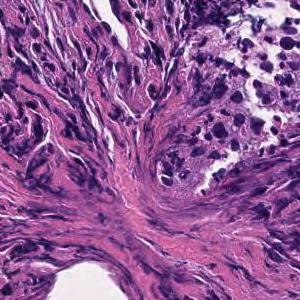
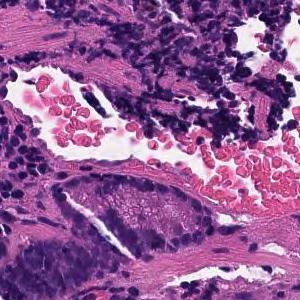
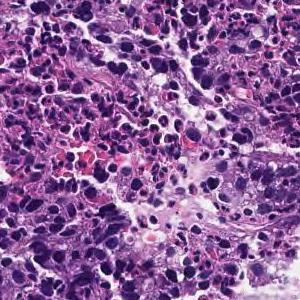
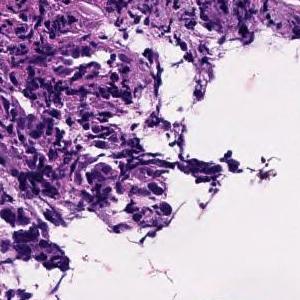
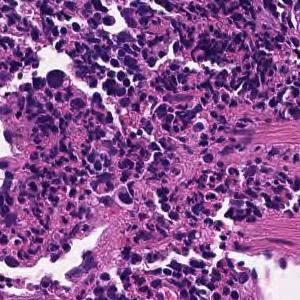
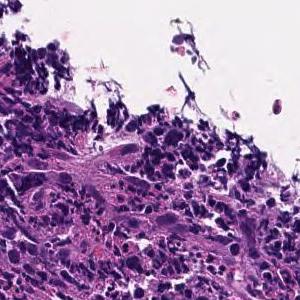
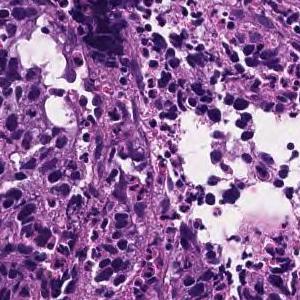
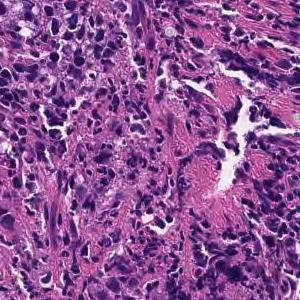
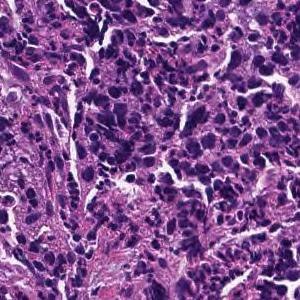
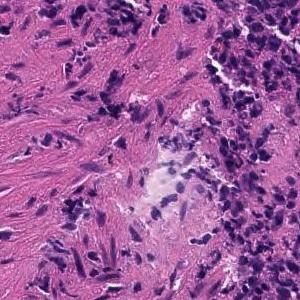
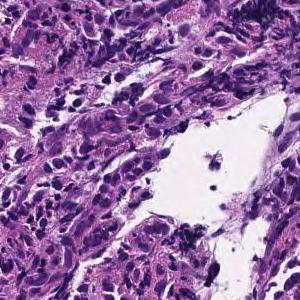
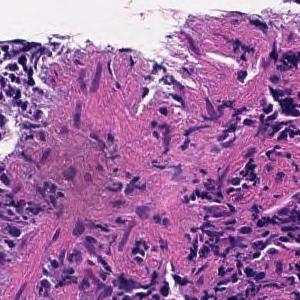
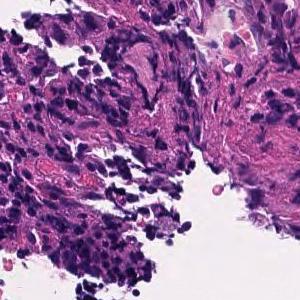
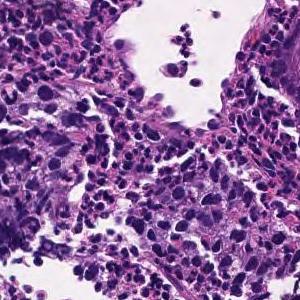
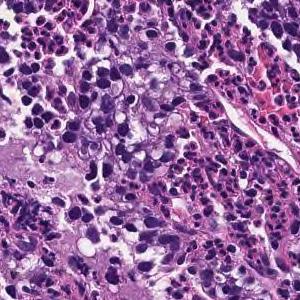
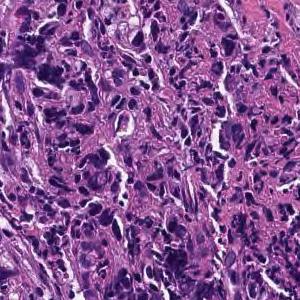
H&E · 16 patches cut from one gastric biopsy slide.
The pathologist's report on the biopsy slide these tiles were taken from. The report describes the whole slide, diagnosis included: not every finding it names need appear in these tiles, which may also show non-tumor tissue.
Tumor tissue consisting of cord-like or small, irregular glandular ducts fused and infiltrated is observed in the superficial epithelium. Poorly differentiated adenocarcinoma, non-solid type
The term "non-solid type" comes from the Japanese Classification of Gastric Carcinoma.
